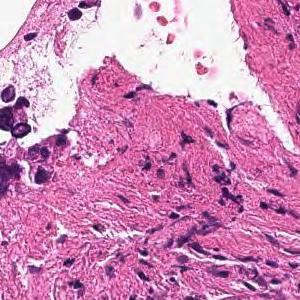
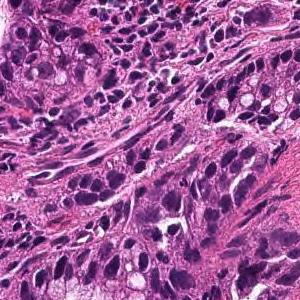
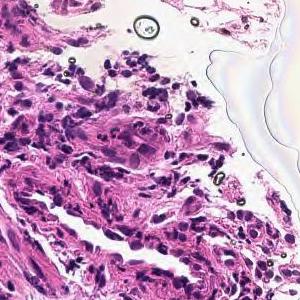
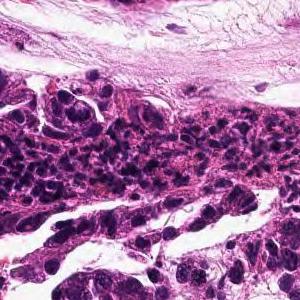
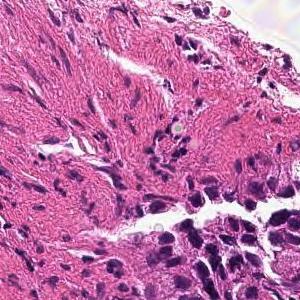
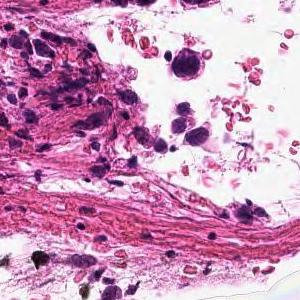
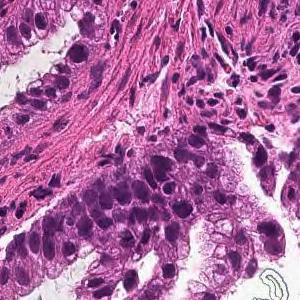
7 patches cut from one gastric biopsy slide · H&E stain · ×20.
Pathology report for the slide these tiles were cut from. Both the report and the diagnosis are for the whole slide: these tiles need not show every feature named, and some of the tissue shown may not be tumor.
From the superficial epithelium to the muscularis mucosae, tumor tissue infiltrating by forming medium-sized irregular gland ducts is observed. Well differentiated tubular adenocarcinoma
